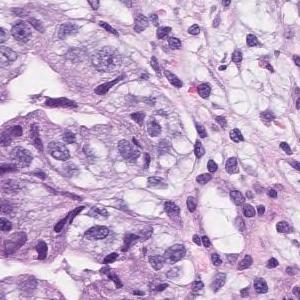
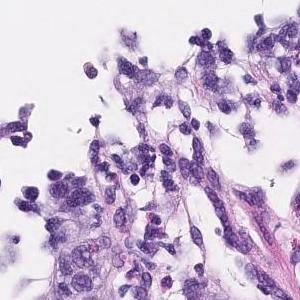
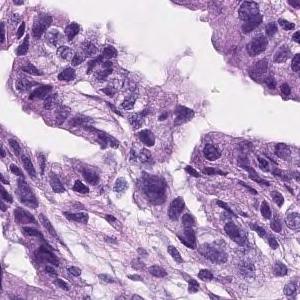
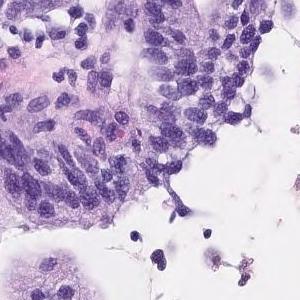
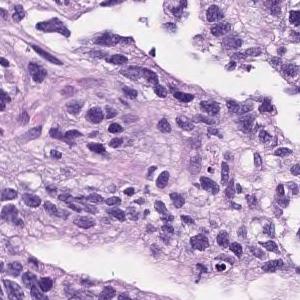
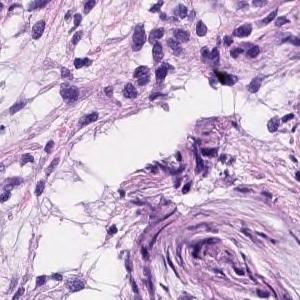
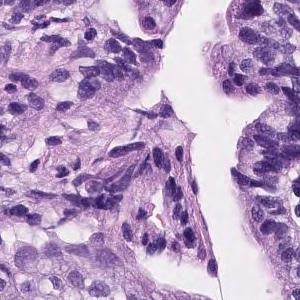
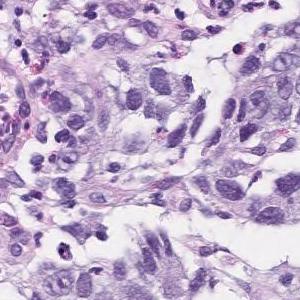
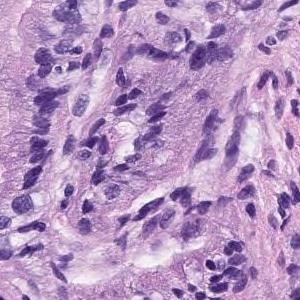
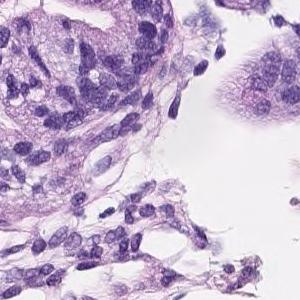
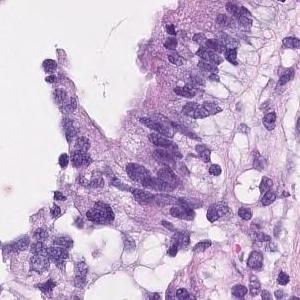
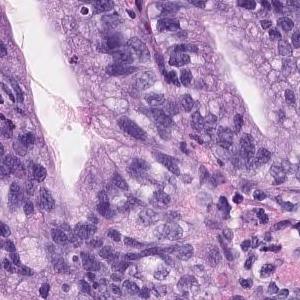
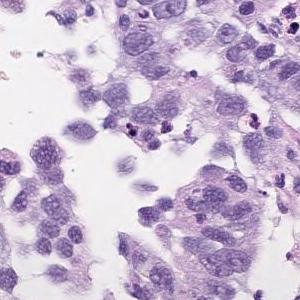
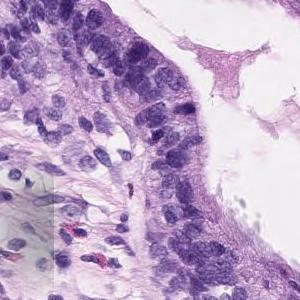
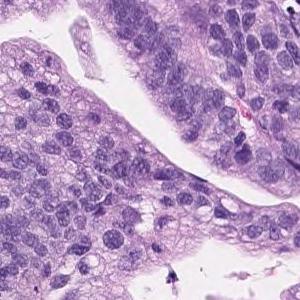
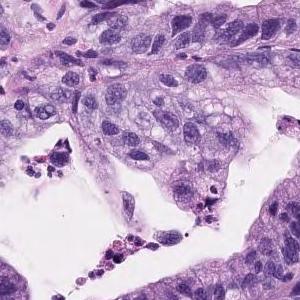
H&E; 20× magnification; 16 patches cut from one gastric biopsy slide; 300 × 300 pixels each.
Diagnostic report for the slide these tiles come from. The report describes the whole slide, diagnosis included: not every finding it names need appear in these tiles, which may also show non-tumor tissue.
Tumor cells are large, highly columnar, large club-shaped nuclei, and are associated with chromatin aggregation. Papillary adenocarcinoma.
